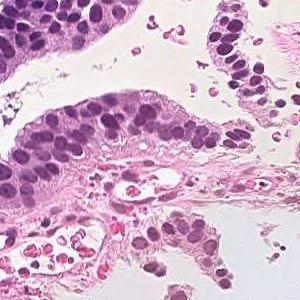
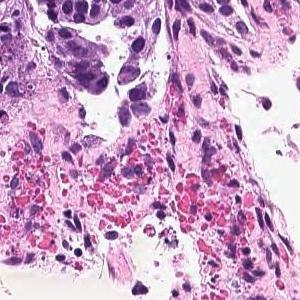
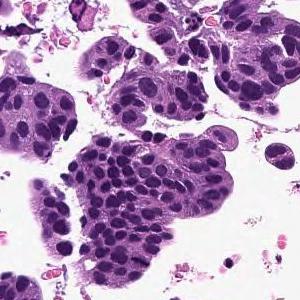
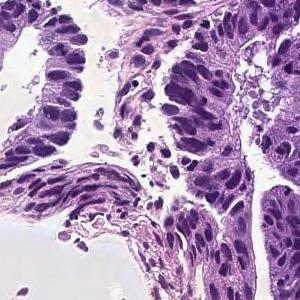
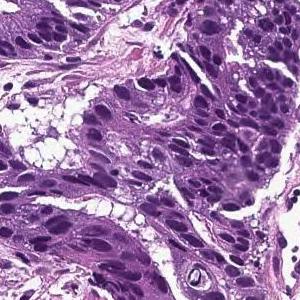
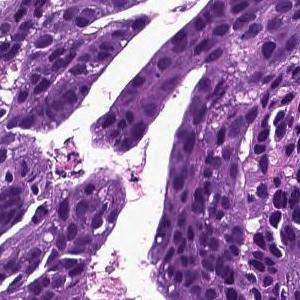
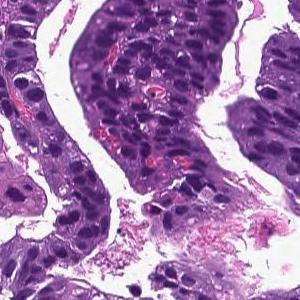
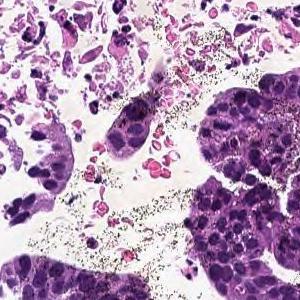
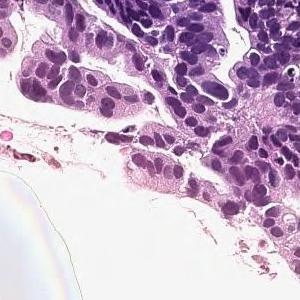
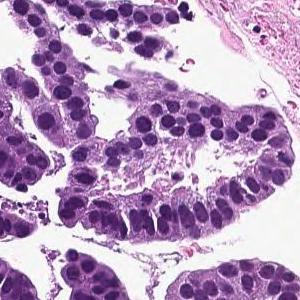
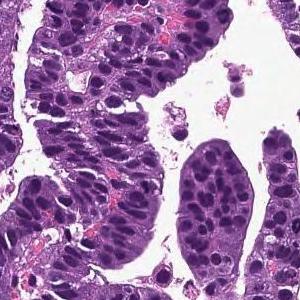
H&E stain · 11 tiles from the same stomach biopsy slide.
Diagnostic report for the slide these tiles come from. The report describes the whole slide, diagnosis included: not every finding it names need appear in these tiles, which may also show non-tumor tissue.
Tumor cells are large, highly columnar, large club-shaped nuclei, and are associated with chromatin aggregation. Papillary adenocarcinoma.
